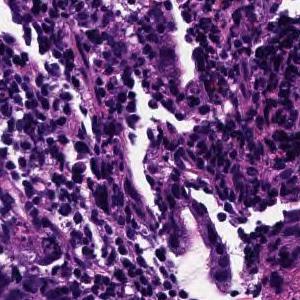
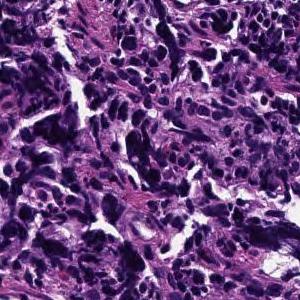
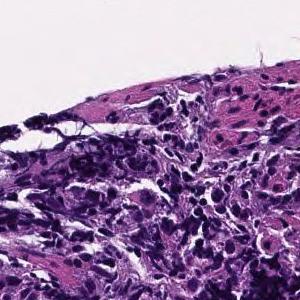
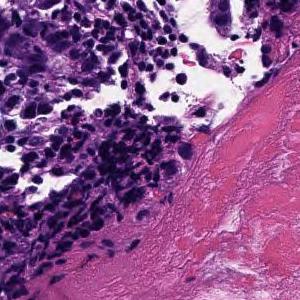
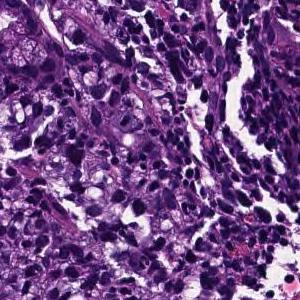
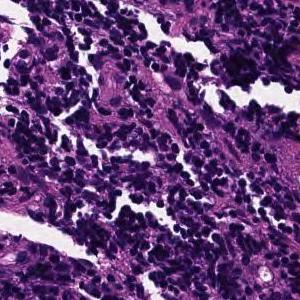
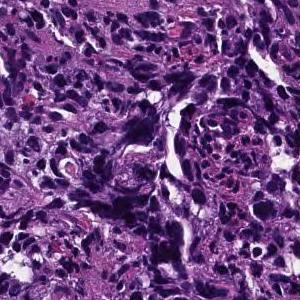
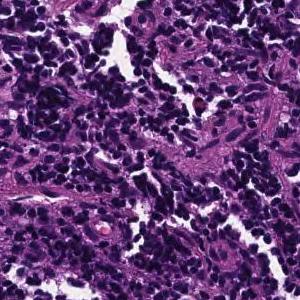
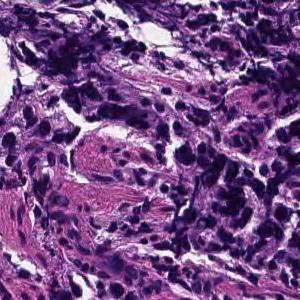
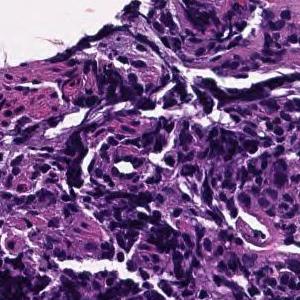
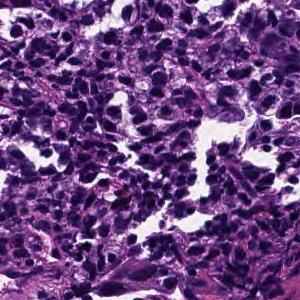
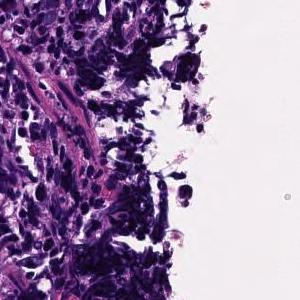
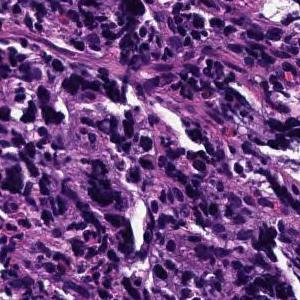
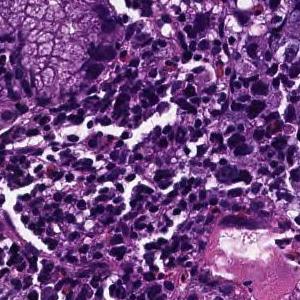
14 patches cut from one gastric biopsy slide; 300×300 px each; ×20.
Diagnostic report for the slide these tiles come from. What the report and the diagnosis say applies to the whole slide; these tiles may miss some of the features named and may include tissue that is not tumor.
Tumor tissue consisting of cord-like or small, irregular glandular ducts fused and infiltrated is observed in the superficial epithelium. Poorly differentiated adenocarcinoma, non-solid type
"Non-solid type" is a category of the Japanese Classification of Gastric Carcinoma.
